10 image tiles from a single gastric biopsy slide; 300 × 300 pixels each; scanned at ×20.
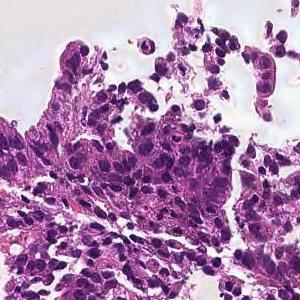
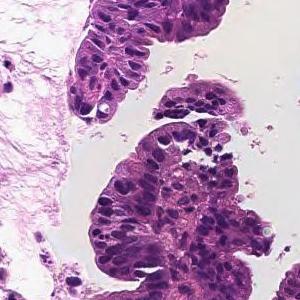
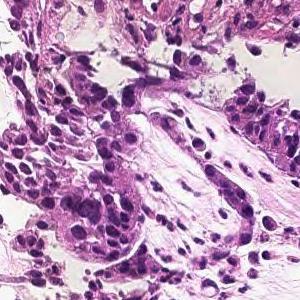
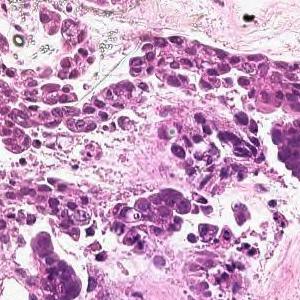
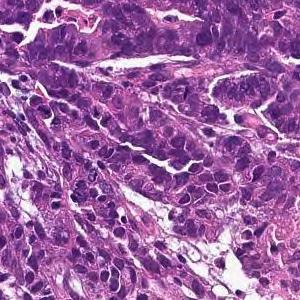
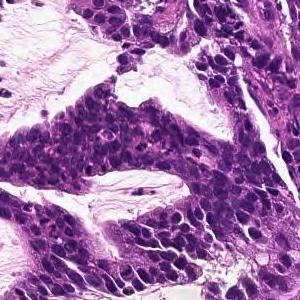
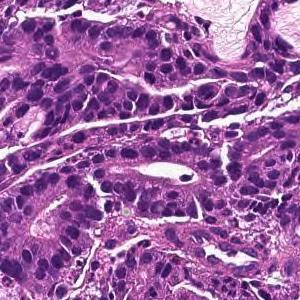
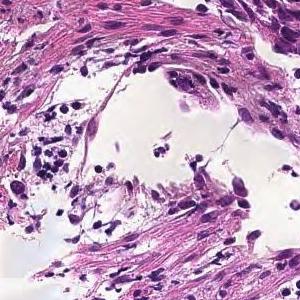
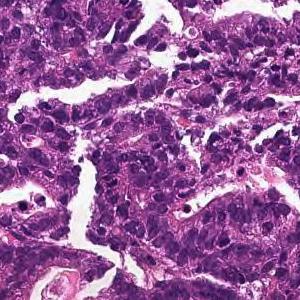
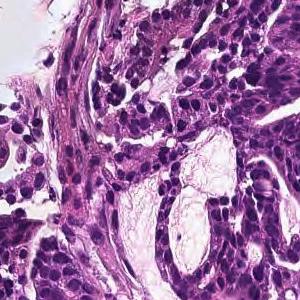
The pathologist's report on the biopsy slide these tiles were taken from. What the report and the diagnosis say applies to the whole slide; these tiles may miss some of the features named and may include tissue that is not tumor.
In the superficial epithelium, tumor tissue that invades by forming medium-sized to small, irregular ducts is observed. moderately differentiated tubular adenocarcinoma.
